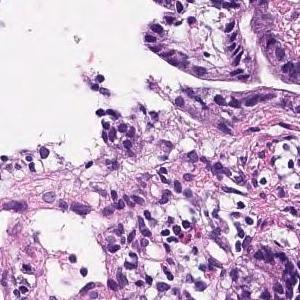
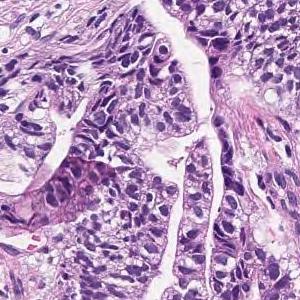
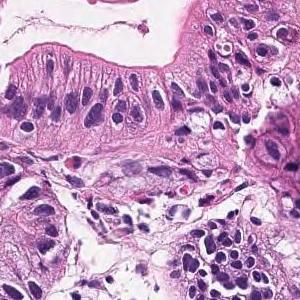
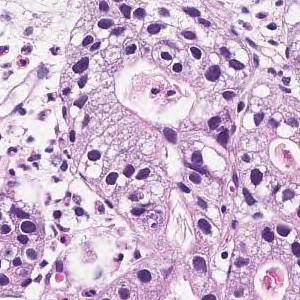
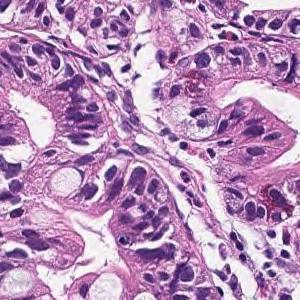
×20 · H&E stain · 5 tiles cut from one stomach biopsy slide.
Pathology report for the slide these tiles were cut from. The report and the diagnosis cover the entire slide, so not every feature they name need be visible here, and some tissue shown may not be tumor.
In the superficial epithelium, tumor tissue that invades by forming medium-sized to small, irregular ducts is observed. Moderately differentiated adenocarcinoma.
Histologic type: Moderately differentiated tubular adenocarcinoma.
